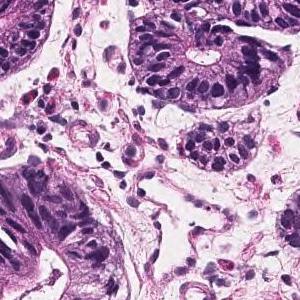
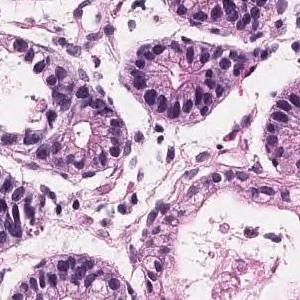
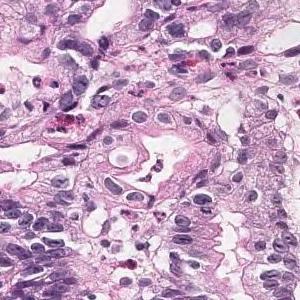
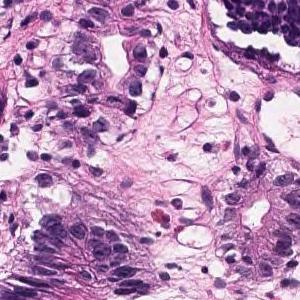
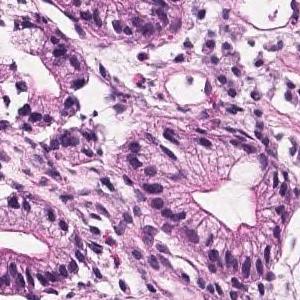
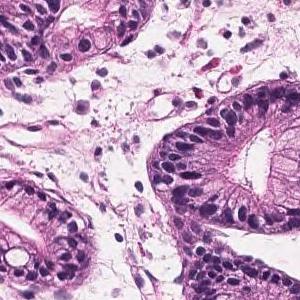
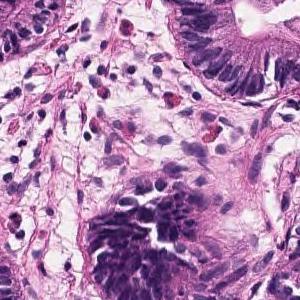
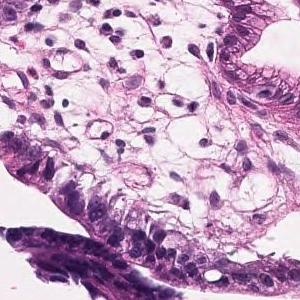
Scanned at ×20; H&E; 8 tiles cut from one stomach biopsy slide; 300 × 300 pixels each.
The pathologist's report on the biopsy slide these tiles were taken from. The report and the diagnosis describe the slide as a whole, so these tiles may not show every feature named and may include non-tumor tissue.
Tumor tissue in which medium to small irregular ducts infiltrate and proliferate in the submucosa can be seen in the epithelium. Well differentiated tubular adenocarcinoma
